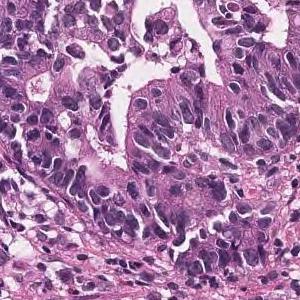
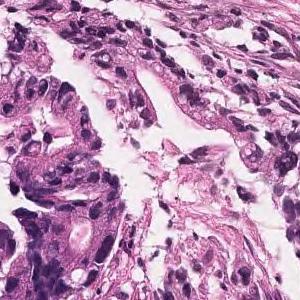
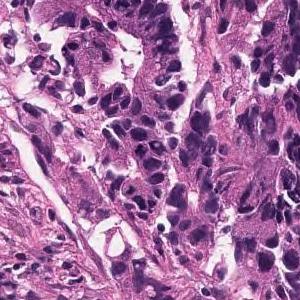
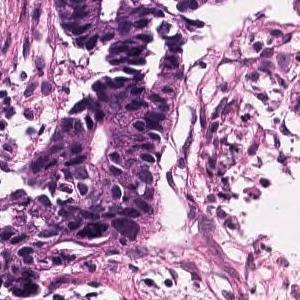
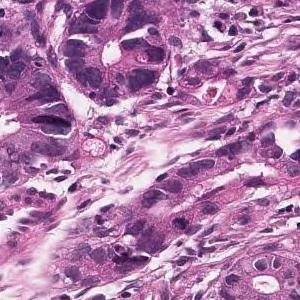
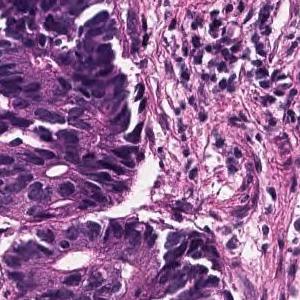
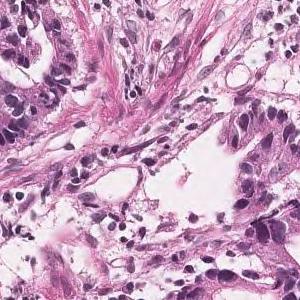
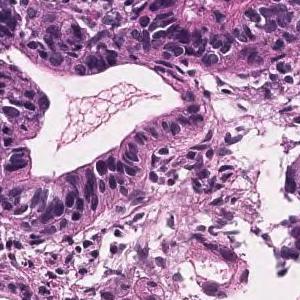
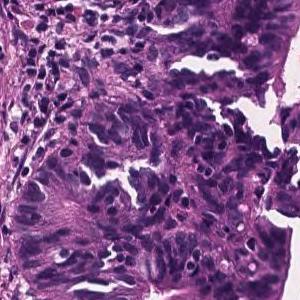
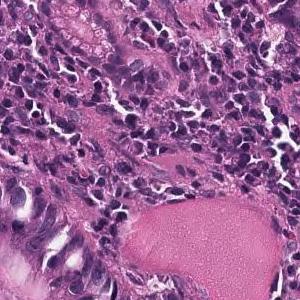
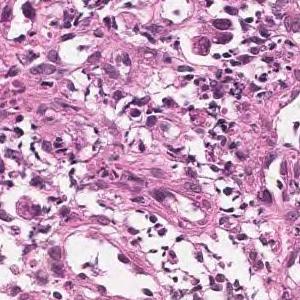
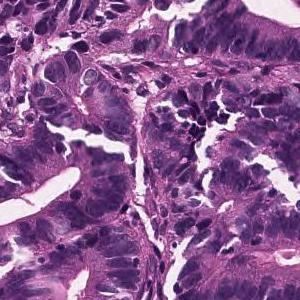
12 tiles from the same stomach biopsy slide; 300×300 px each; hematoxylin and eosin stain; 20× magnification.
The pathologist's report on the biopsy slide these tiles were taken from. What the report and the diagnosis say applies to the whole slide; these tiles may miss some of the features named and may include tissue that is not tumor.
In the superficial epithelium, tumor tissue is found in which medium-sized irregular gland ducts fuse with each other and infiltrate. moderately differentiated tubular adenocarcinoma
